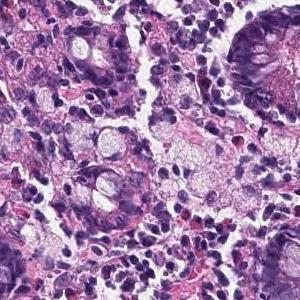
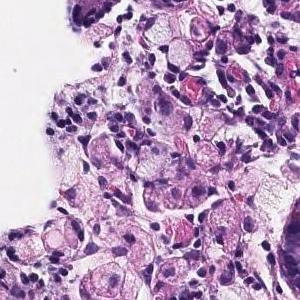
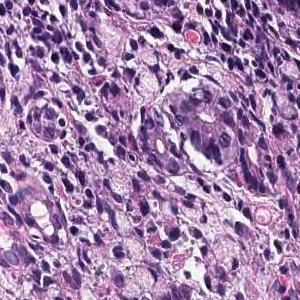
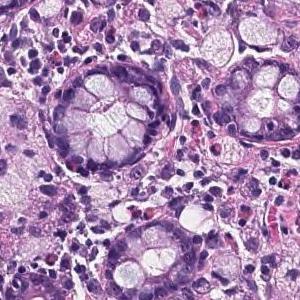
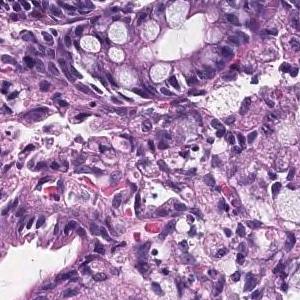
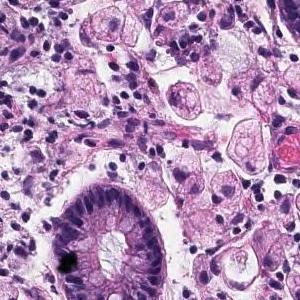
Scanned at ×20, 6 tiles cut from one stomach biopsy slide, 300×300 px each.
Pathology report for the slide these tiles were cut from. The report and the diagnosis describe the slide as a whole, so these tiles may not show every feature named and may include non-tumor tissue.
A tumor tissue consisting of signet ring cell carcinoma cells is observed in the lamina propria. Signet ring cell carcinoma.
